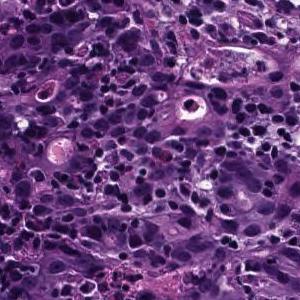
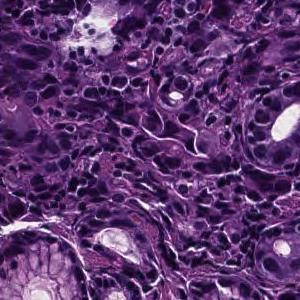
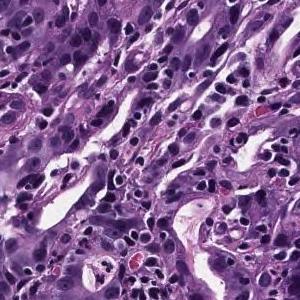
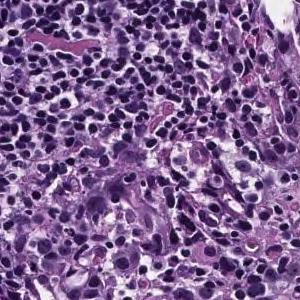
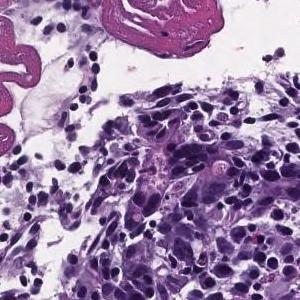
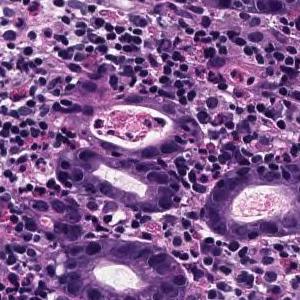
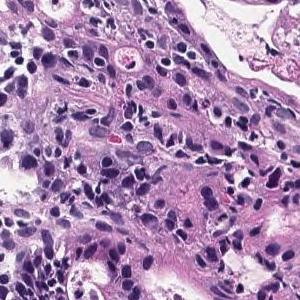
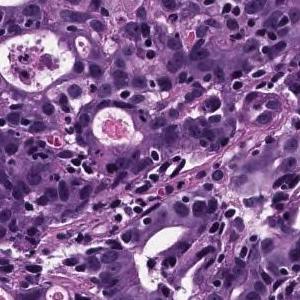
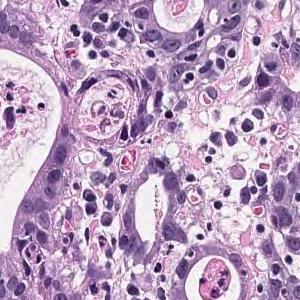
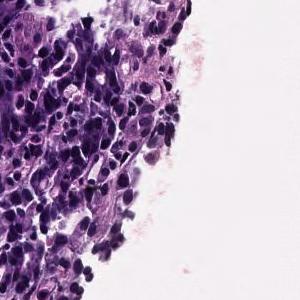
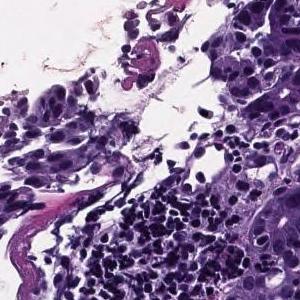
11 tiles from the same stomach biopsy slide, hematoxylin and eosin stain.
The pathologist's report on the biopsy slide these tiles were taken from. What the report and the diagnosis say applies to the whole slide; these tiles may miss some of the features named and may include tissue that is not tumor.
In the superficial epithelium, tumor tissue that invades by forming medium-sized to small, irregular ducts is observed. moderately differentiated tubular adenocarcinoma.
